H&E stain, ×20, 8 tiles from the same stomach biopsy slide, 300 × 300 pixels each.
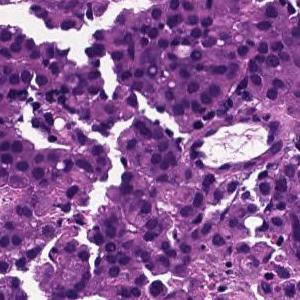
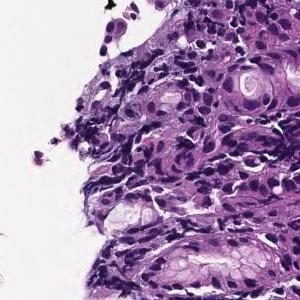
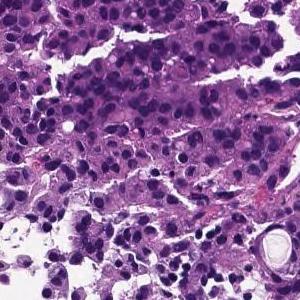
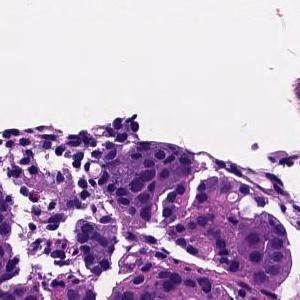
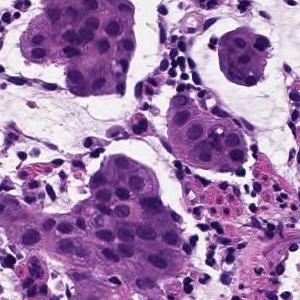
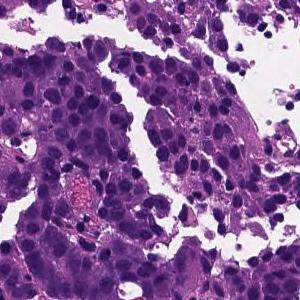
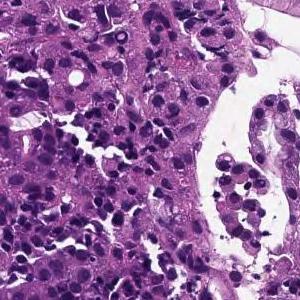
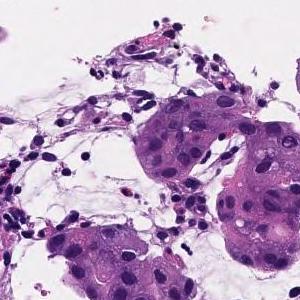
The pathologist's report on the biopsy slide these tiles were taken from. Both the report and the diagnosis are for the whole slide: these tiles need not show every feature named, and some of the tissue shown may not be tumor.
The superficial epithelium shows a large sheet-like shape, and some tumor tissue infiltrates with small irregular ducts. Poorly differentiated adenocarcinoma, solid-type
Histological subtype: Poorly differentiated adenocarcinoma, solid type, a category of the Japanese Classification of Gastric Carcinoma; in the WHO 2019 classification it is tubular adenocarcinoma, poorly differentiated.
